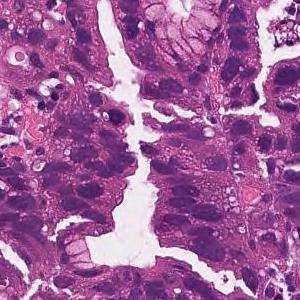
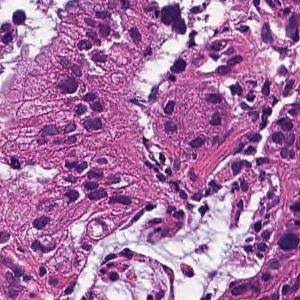
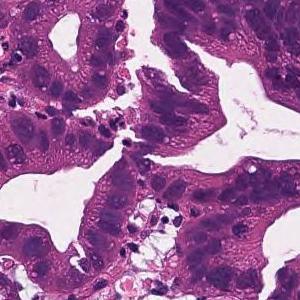
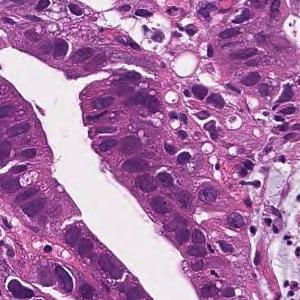
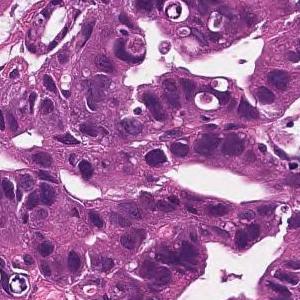
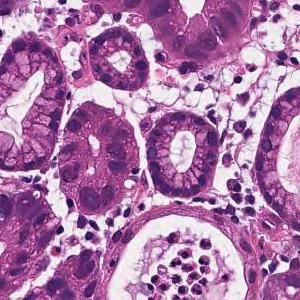
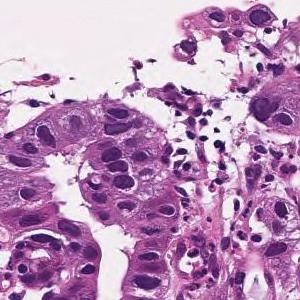
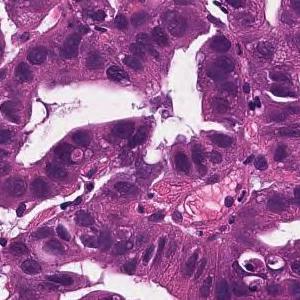
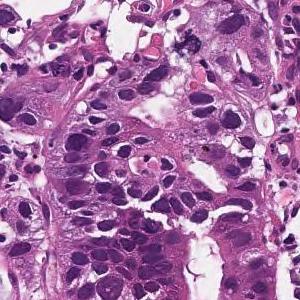
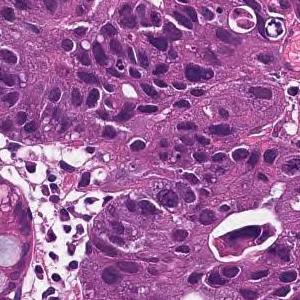
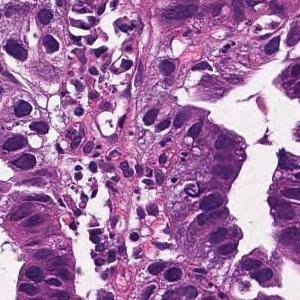
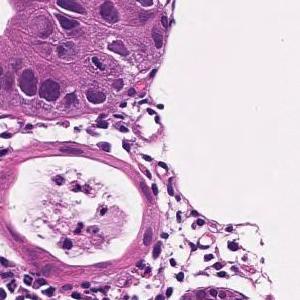
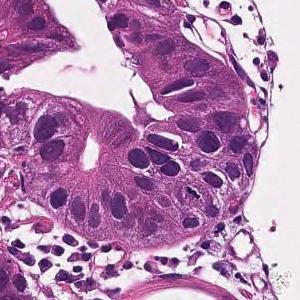
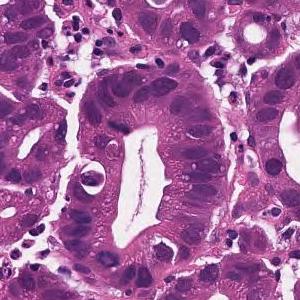
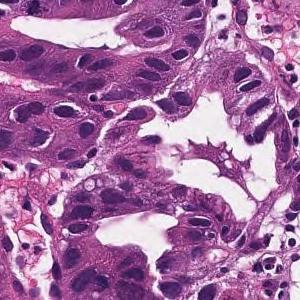
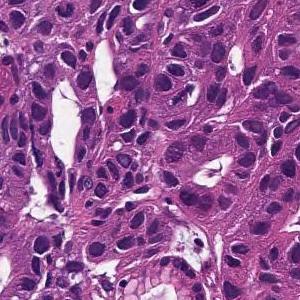
20× magnification; 16 tiles cut from one stomach biopsy slide.
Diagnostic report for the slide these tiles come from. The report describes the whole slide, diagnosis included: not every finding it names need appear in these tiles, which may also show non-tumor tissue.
In the superficial epithelium, tumor tissue that invades by forming medium-sized to small, irregular ducts is observed. moderately differentiated tubular adenocarcinoma.
